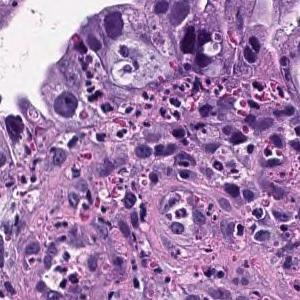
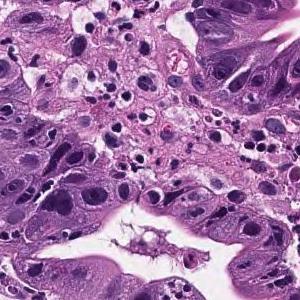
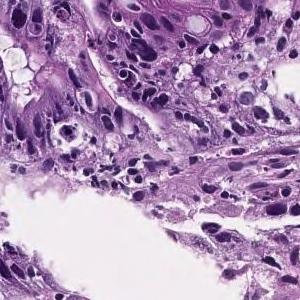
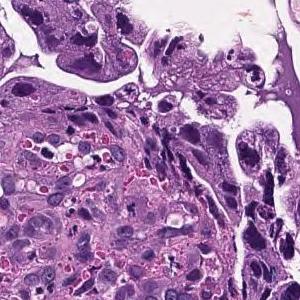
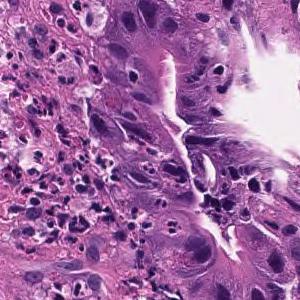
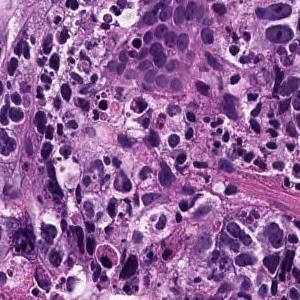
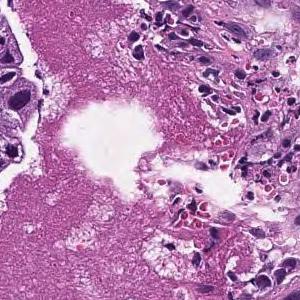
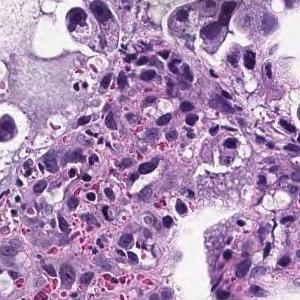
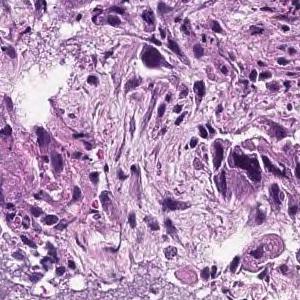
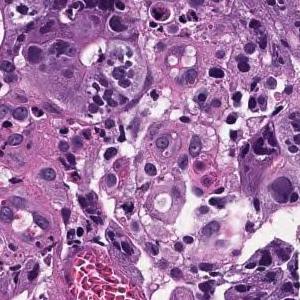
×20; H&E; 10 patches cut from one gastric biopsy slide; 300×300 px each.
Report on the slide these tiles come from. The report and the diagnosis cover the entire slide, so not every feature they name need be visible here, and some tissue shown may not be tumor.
In the superficial epithelium, medium to small irregular gland ducts are formed, and in some cases, the ducts are fused to show solid alveolar lesions and infiltrating tumor tissue is observed. Moderately to poorly differentiated adenocarcinoma
